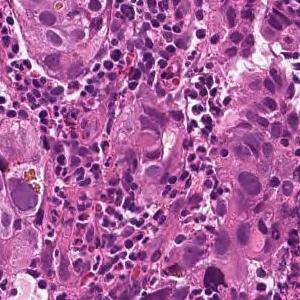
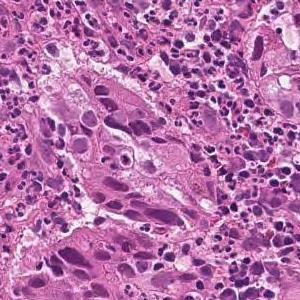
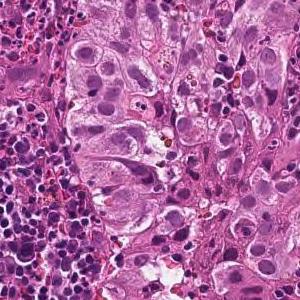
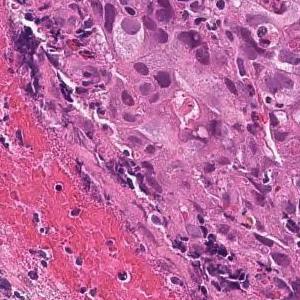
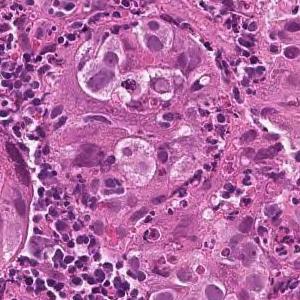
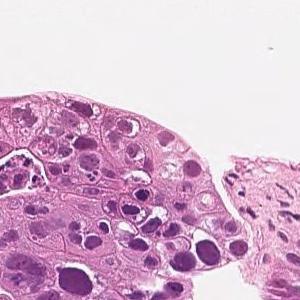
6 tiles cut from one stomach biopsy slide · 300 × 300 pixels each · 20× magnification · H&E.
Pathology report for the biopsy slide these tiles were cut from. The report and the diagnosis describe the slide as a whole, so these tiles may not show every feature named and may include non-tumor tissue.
Large sheet-like or diffusely infiltrating tumor tissue is found in the superficial epithelium. Poorly differentiated adenocarcinoma, solid-type
Histological subtype: Poorly differentiated adenocarcinoma, solid type, a category of the Japanese Classification of Gastric Carcinoma; in the WHO 2019 classification it is tubular adenocarcinoma, poorly differentiated.
